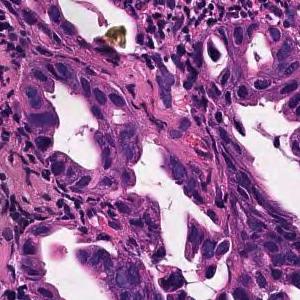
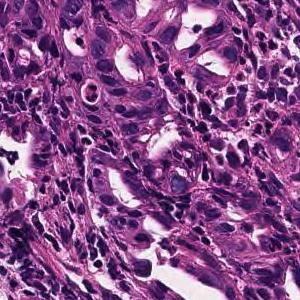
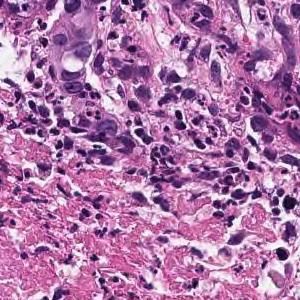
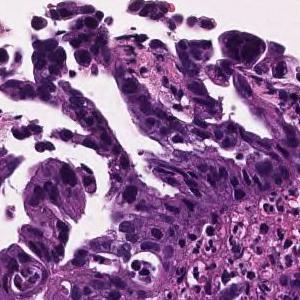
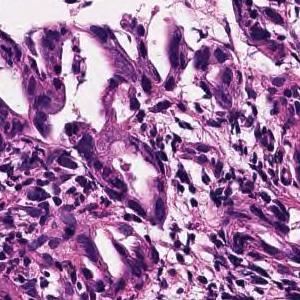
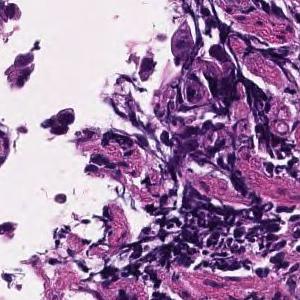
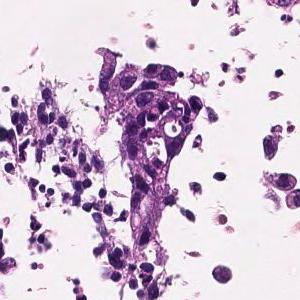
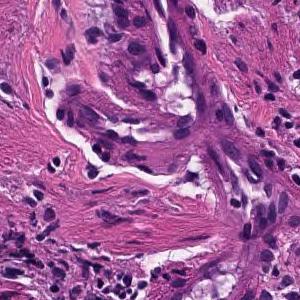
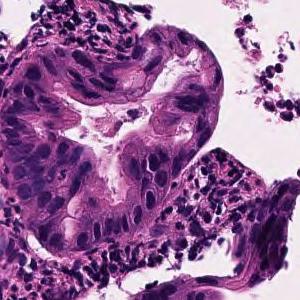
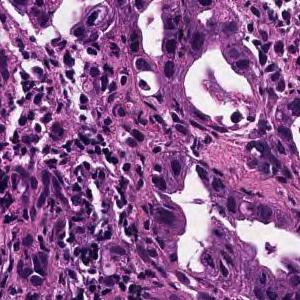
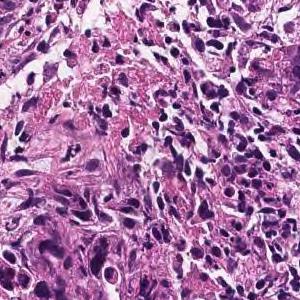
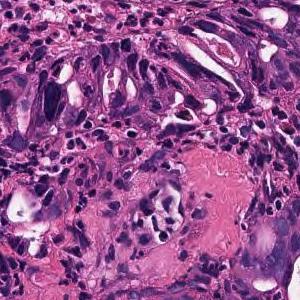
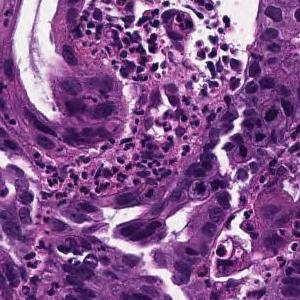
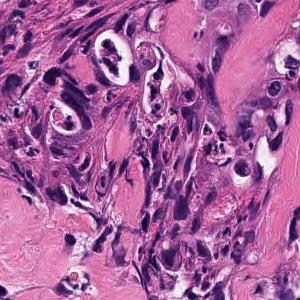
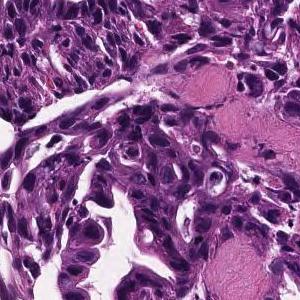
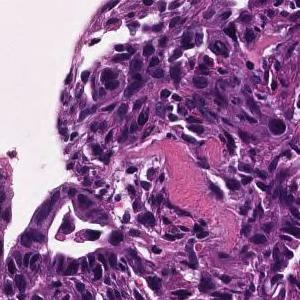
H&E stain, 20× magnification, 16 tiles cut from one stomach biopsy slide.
The pathologist's report on the biopsy slide these tiles were taken from. Both the report and the diagnosis are for the whole slide: these tiles need not show every feature named, and some of the tissue shown may not be tumor.
In the superficial epithelium, medium-sized to small irregular glandular ducts are formed, and in some cases, the glandular ducts are fused or small cord-like infiltrating tumor tissue is observed. moderately differentiated tubular adenocarcinoma
